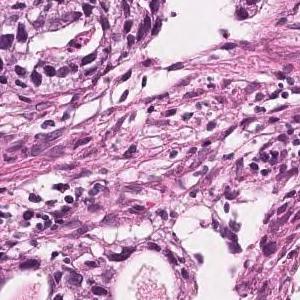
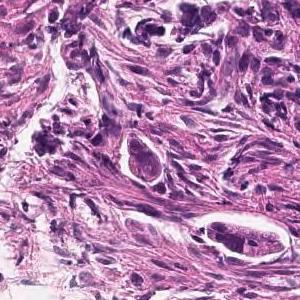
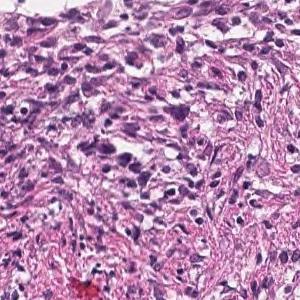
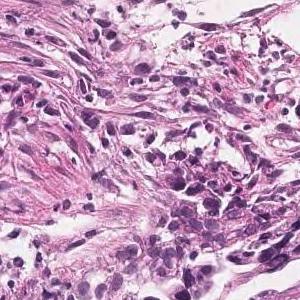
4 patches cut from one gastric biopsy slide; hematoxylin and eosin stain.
Diagnostic report for the slide these tiles come from. The findings and the diagnosis refer to the entire slide; these tiles show only part of it, possibly with non-tumor tissue, and may not show every feature named.
Tumor tissue that is localized within the mucosa and grows in microcavities or small glandular cavities or individually isolated is observed. Poorly differentiated adenocarcinoma, non-solid type
The term "non-solid type" comes from the Japanese Classification of Gastric Carcinoma.
